×20, 6 tiles cut from one stomach biopsy slide.
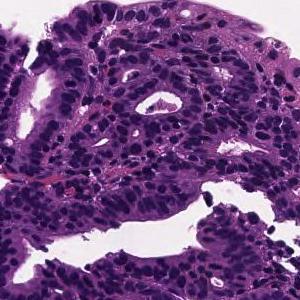
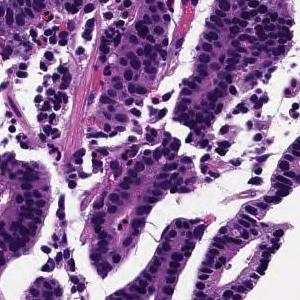
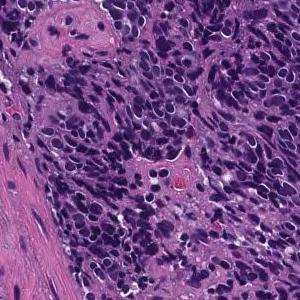
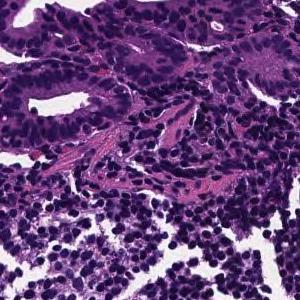
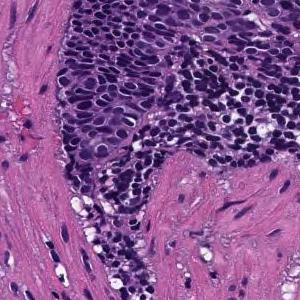
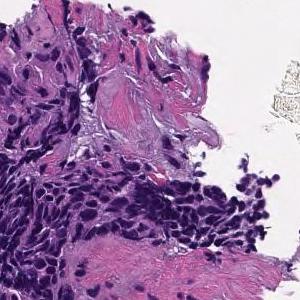
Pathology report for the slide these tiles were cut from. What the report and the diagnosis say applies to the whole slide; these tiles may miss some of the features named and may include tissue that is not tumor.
Tumor tissue consisting of medium-sized, cord-like or irregular glandular infiltration is observed in the superficial epithelium. Poorly differentiated adenocarcinoma, non-solid type or moderately differentiated tubular adenocarcinoma
Tumor subtype: moderately to poorly differentiated adenocarcinoma.
The term "non-solid type" comes from the Japanese Classification of Gastric Carcinoma.
